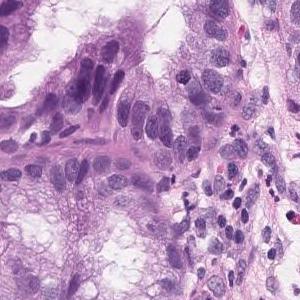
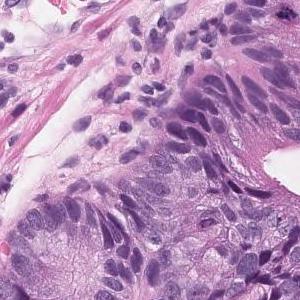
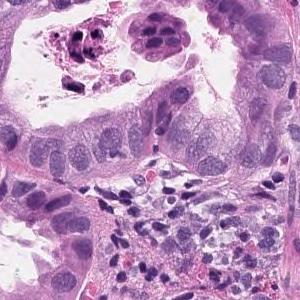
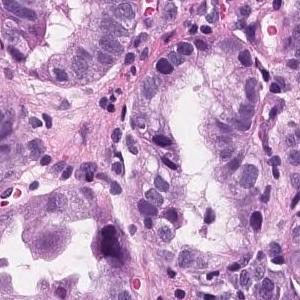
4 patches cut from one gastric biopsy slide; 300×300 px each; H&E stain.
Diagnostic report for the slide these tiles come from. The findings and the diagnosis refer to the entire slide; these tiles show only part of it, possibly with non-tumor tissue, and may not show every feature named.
Tumor tissue consisting of medium-sized and irregular ducts is observed infiltrating in the superficial epithelium. Tumor cells are highly columnar, with nuclei aligned basolaterally and polarized. Well differentiated tubular adenocarcinoma.
